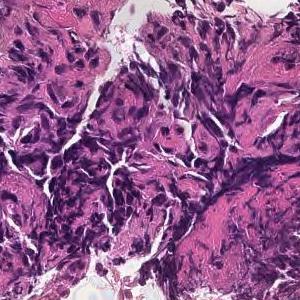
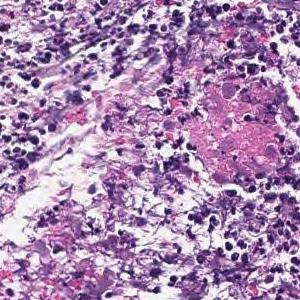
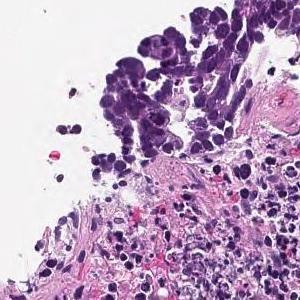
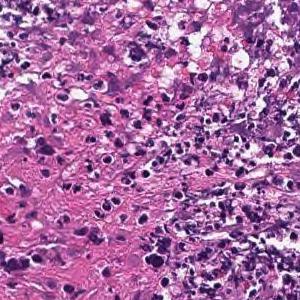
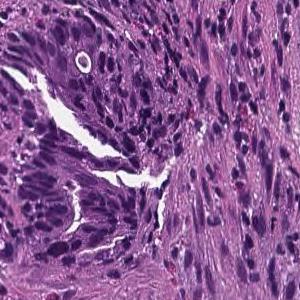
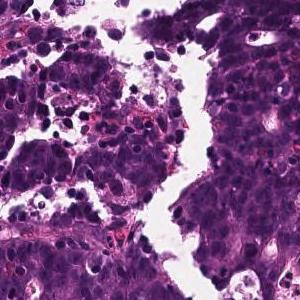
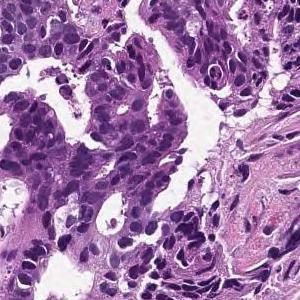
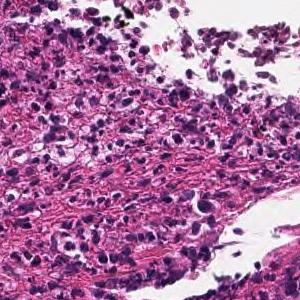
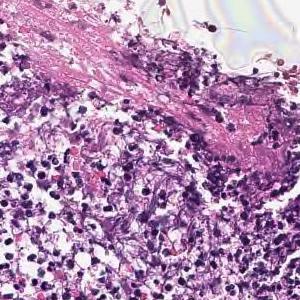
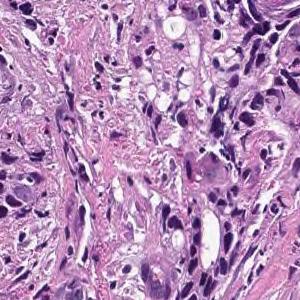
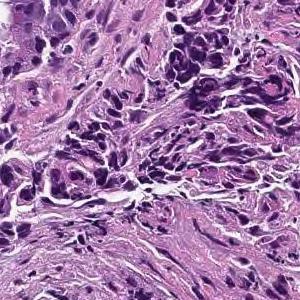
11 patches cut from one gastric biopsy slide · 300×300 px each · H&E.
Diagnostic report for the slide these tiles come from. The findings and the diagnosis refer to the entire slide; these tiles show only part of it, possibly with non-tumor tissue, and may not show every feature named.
In the superficial epithelium, tumor tissue that invades by forming medium-sized to small, irregular ducts is observed. moderately differentiated tubular adenocarcinoma.
